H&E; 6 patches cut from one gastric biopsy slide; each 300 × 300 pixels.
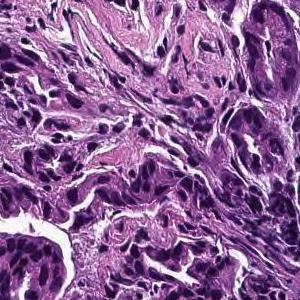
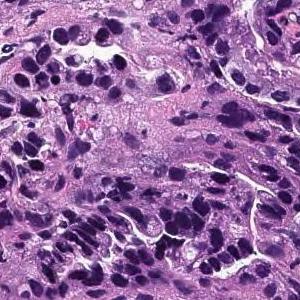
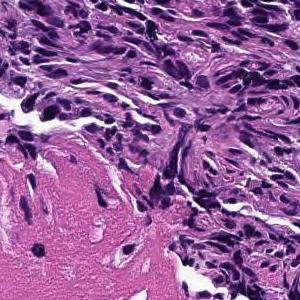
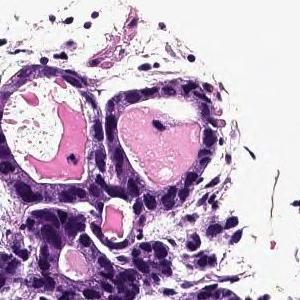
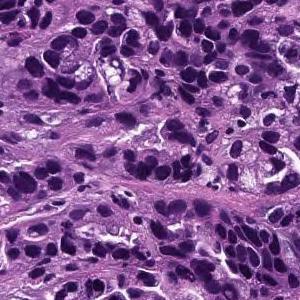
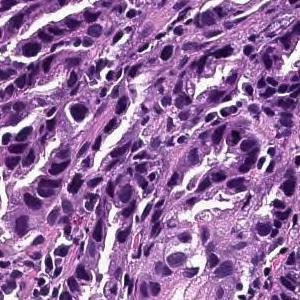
Diagnostic report for the slide these tiles come from. The report describes the whole slide, diagnosis included: not every finding it names need appear in these tiles, which may also show non-tumor tissue.
Tumor cells are large, highly columnar, large club-shaped nuclei, and are associated with chromatin aggregation. Papillary adenocarcinoma.
